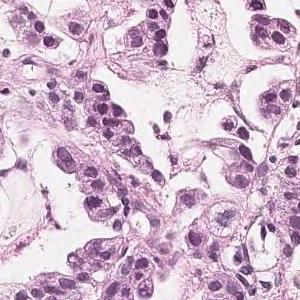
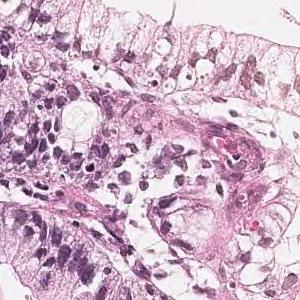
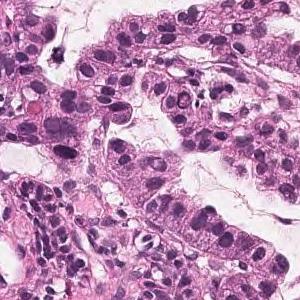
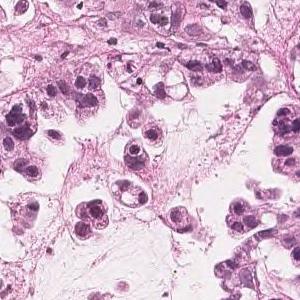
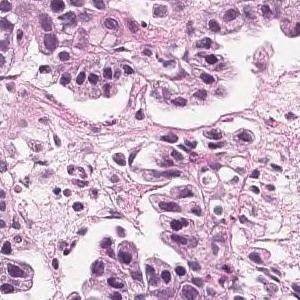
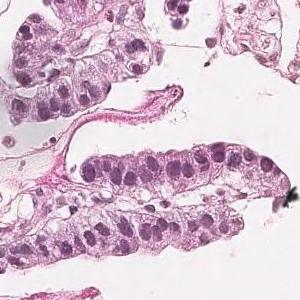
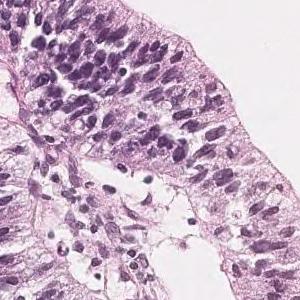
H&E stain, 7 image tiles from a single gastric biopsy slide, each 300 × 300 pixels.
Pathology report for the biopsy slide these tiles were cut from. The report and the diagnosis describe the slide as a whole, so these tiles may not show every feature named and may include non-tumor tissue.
Tumor cells are large, highly columnar, large club-shaped nuclei, and are associated with chromatin aggregation. Papillary adenocarcinoma.
